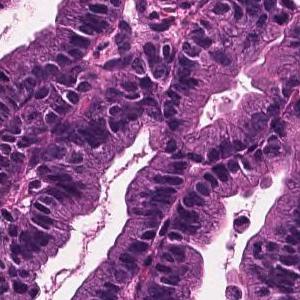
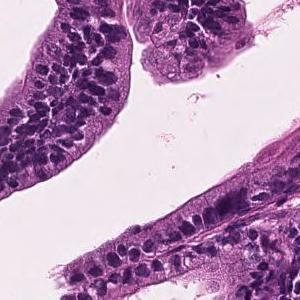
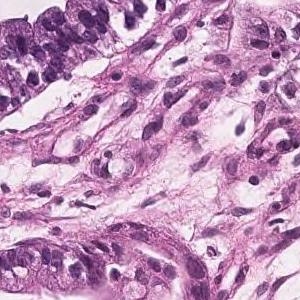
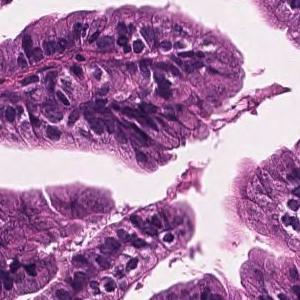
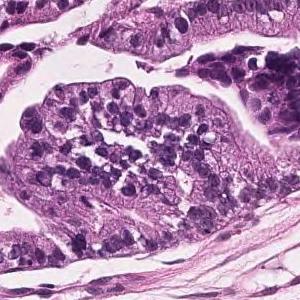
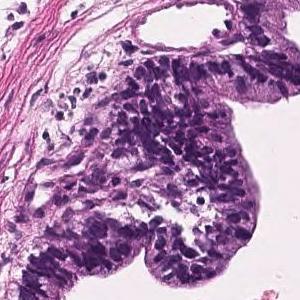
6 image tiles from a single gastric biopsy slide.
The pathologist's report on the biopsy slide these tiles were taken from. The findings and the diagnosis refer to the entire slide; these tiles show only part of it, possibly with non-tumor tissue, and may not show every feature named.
Tumor cells are large, highly columnar, large club-shaped nuclei, and are associated with chromatin aggregation. Papillary adenocarcinoma.
